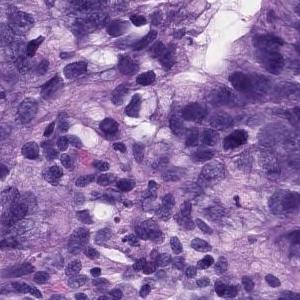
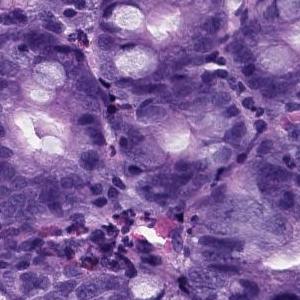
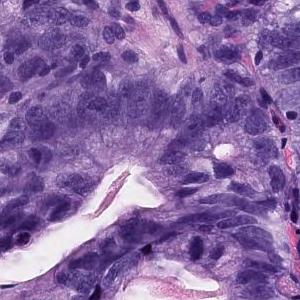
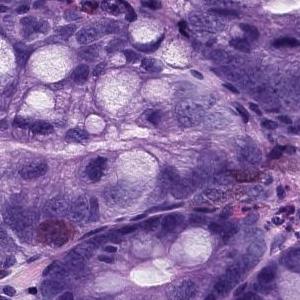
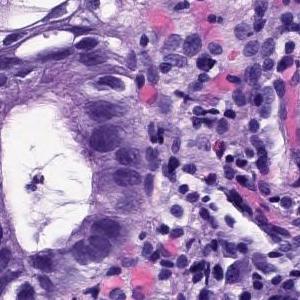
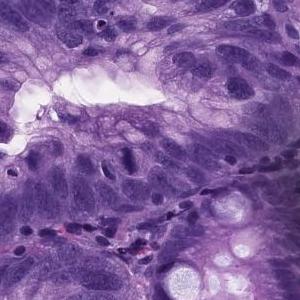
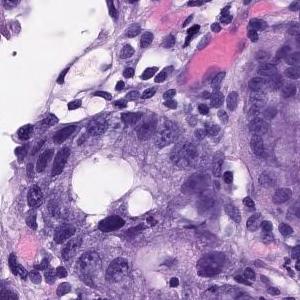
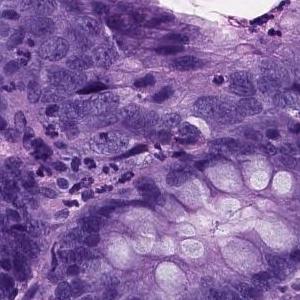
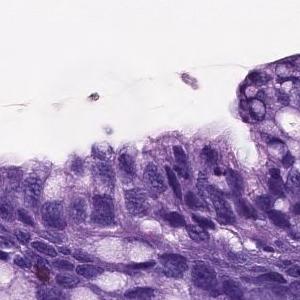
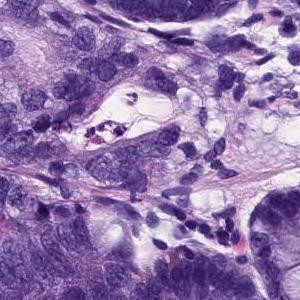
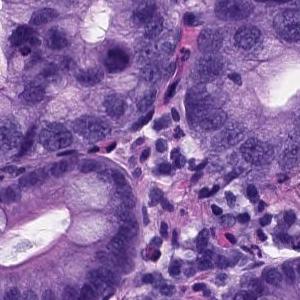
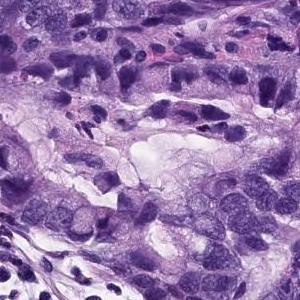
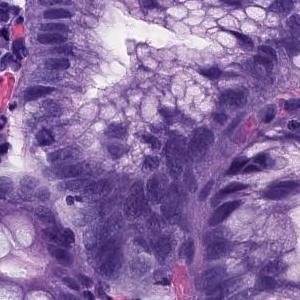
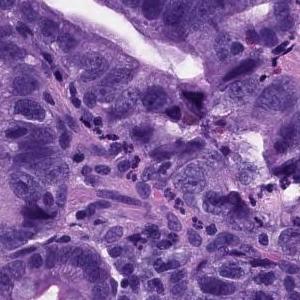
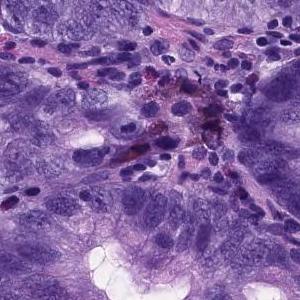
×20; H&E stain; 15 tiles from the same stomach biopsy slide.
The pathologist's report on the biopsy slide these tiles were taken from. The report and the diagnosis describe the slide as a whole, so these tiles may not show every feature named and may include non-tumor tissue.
There are large atypical epithelial cells infiltrating and proliferating while forming atypical glandular cavities showing a fusion tendency. Moderately differentiated tubular adenocarcinoma.
